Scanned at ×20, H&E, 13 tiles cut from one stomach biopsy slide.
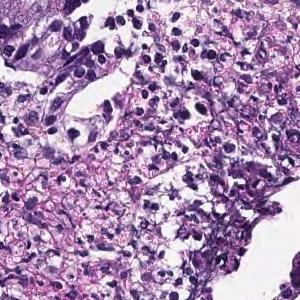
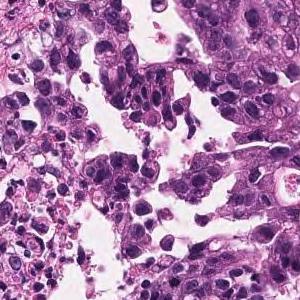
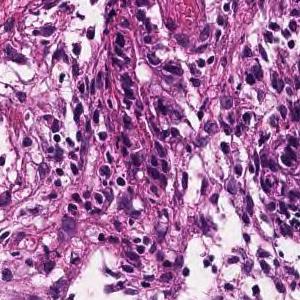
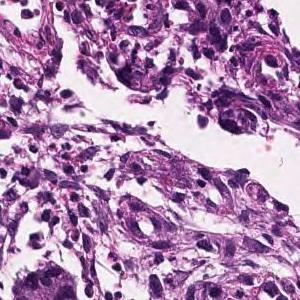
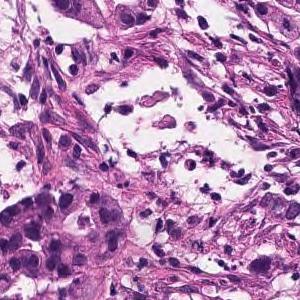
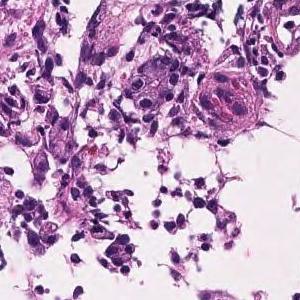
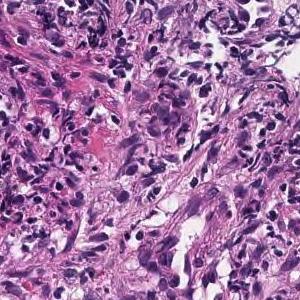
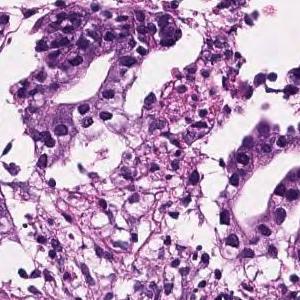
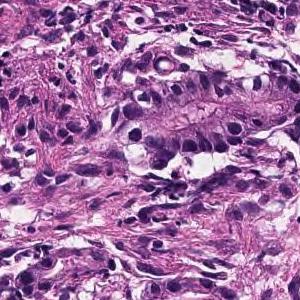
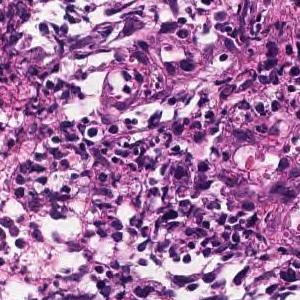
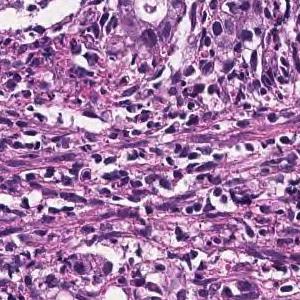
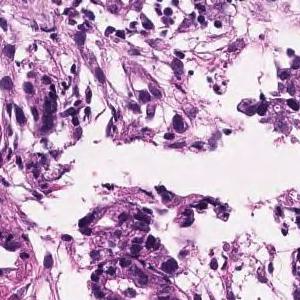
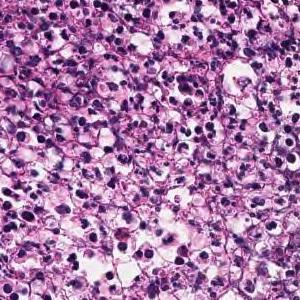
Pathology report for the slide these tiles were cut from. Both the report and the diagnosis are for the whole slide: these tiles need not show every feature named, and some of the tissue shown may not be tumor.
In the superficial epithelium, medium to small, irregular gland ducts are formed, and in some cases, the gland ducts are fused to show solid alveolar lesions and infiltrating tumor tissue is observed. Moderately to poorly differentiated adenocarcinoma.
